10 tiles cut from one stomach biopsy slide; scanned at ×20; H&E stain.
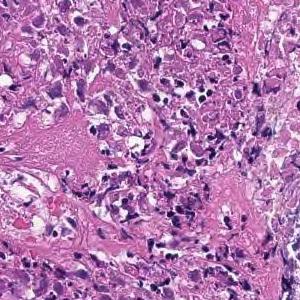
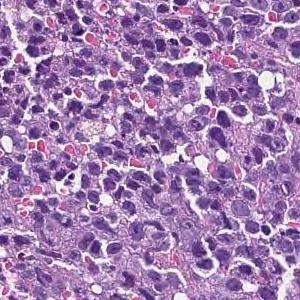
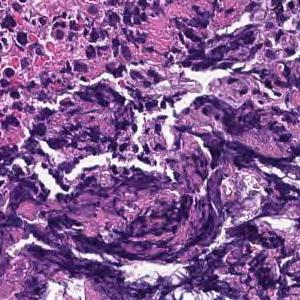
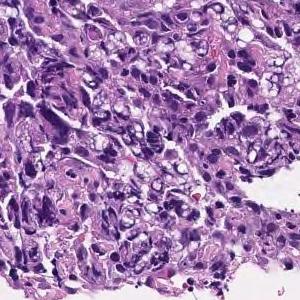
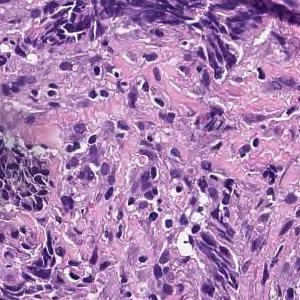
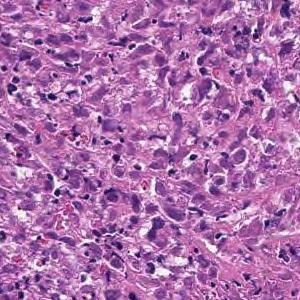
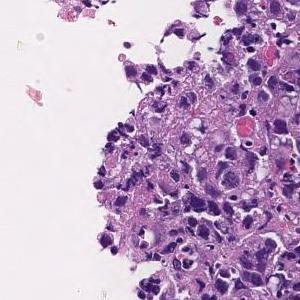
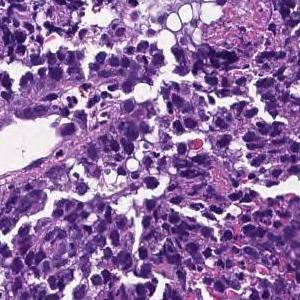
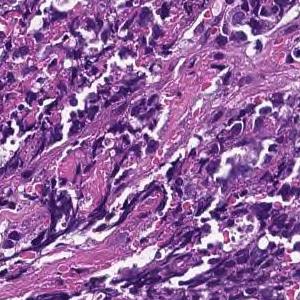
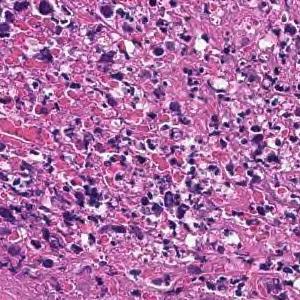
The pathologist's report on the biopsy slide these tiles were taken from. What the report and the diagnosis say applies to the whole slide; these tiles may miss some of the features named and may include tissue that is not tumor.
Most are composed of coagulative necrotic tissue, but some show a large sheet-like shape, and some show tumor tissue infiltrating with a small cord-like structure. Poorly differentiated adenocarcinoma, solid-type
Classified as poorly differentiated adenocarcinoma, solid type. This name comes from the Japanese Classification of Gastric Carcinoma; the WHO 2019 classification calls it tubular adenocarcinoma, poorly differentiated.
